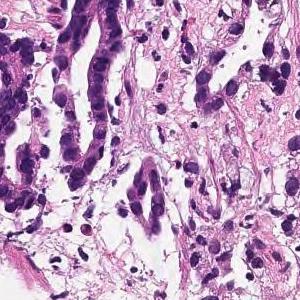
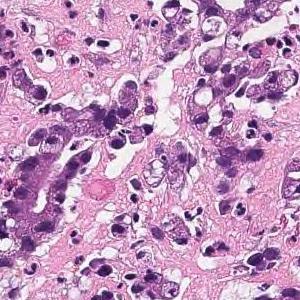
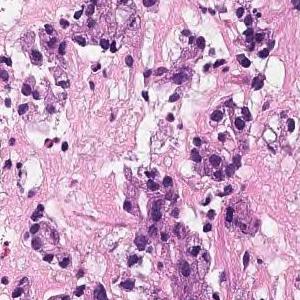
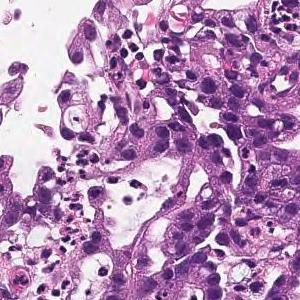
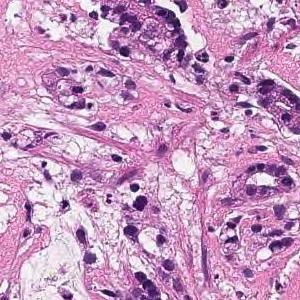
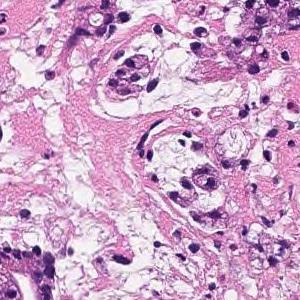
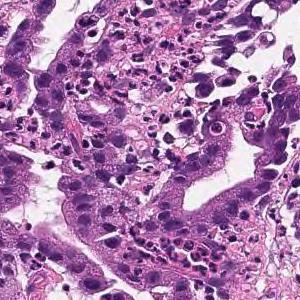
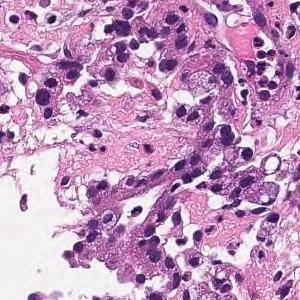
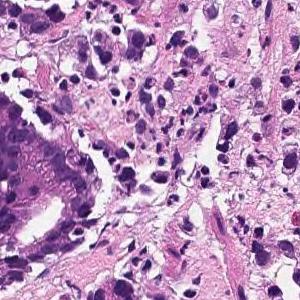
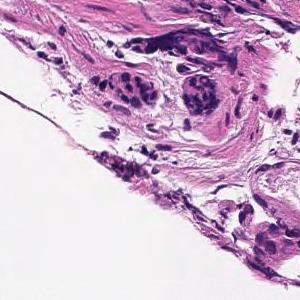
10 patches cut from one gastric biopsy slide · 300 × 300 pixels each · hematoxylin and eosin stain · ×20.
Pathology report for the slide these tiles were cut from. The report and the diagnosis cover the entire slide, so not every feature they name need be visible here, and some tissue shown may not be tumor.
In the superficial epithelium, tumor tissue that invades by forming medium-sized to small, irregular ducts is observed. moderately differentiated tubular adenocarcinoma.
